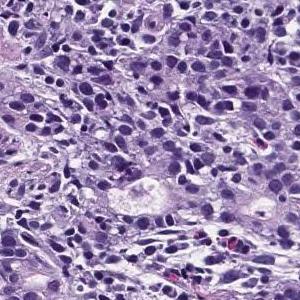
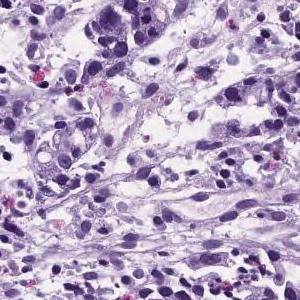
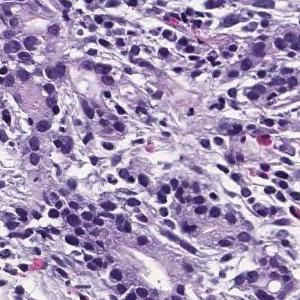
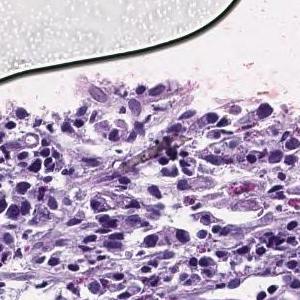
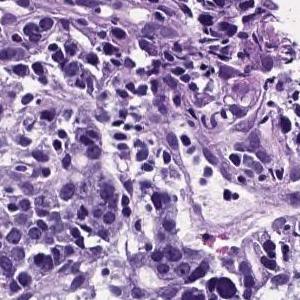
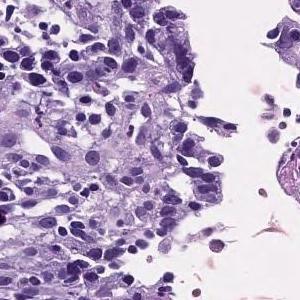
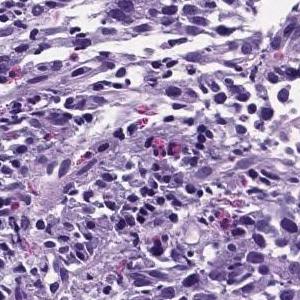
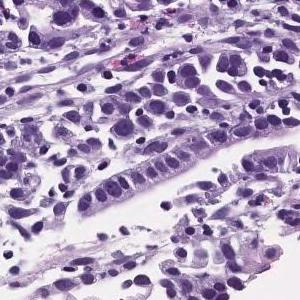
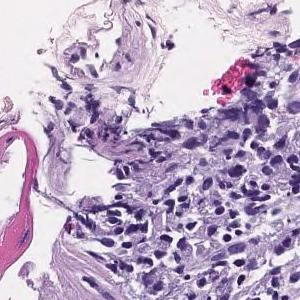
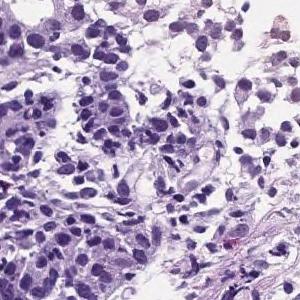
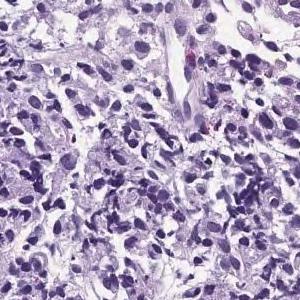
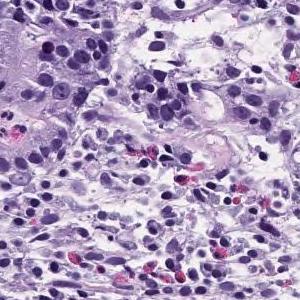
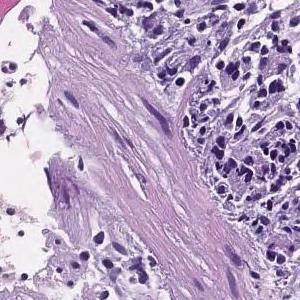
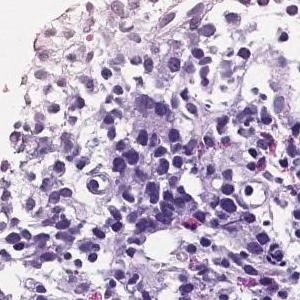
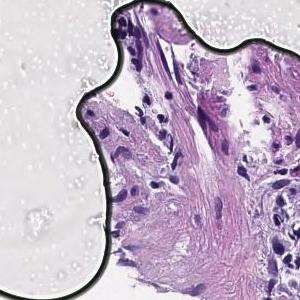
15 tiles cut from one stomach biopsy slide.
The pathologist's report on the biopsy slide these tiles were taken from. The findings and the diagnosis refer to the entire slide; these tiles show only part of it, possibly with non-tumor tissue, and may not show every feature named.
Tumor tissue consisting of medium-sized, cord-like or irregular glandular infiltration is observed in the superficial epithelium. Poorly differentiated adenocarcinoma, non-solid type or moderately differentiated tubular adenocarcinoma
Tumor subtype: moderately to poorly differentiated adenocarcinoma.
"Non-solid type" is a category of the Japanese Classification of Gastric Carcinoma.
